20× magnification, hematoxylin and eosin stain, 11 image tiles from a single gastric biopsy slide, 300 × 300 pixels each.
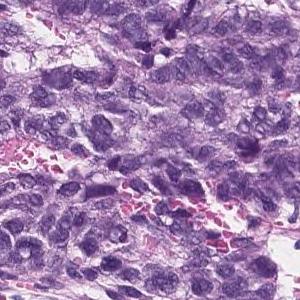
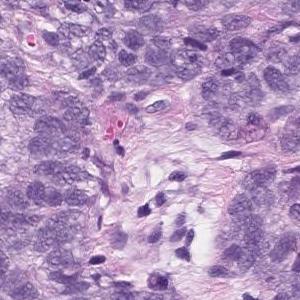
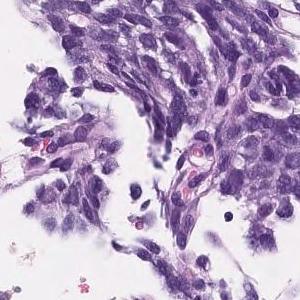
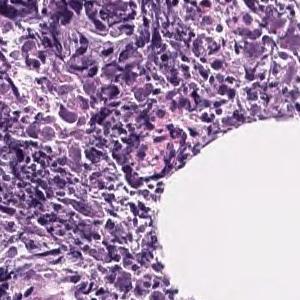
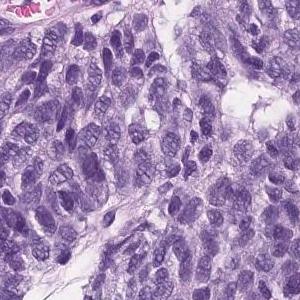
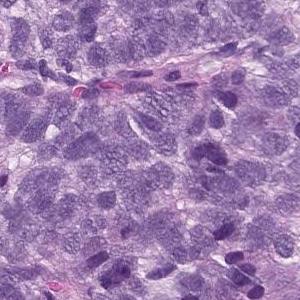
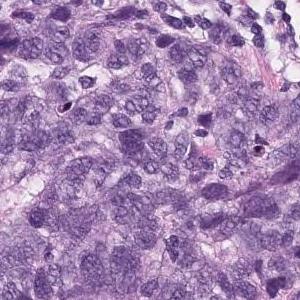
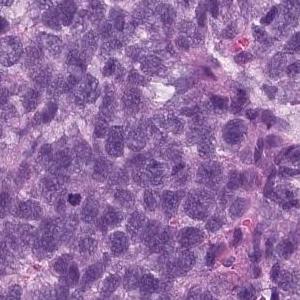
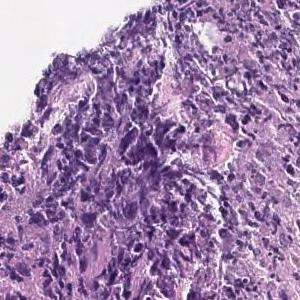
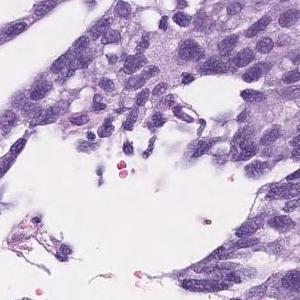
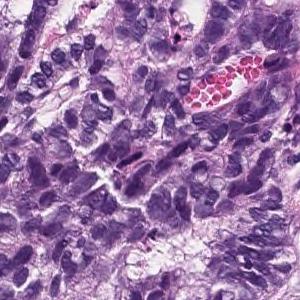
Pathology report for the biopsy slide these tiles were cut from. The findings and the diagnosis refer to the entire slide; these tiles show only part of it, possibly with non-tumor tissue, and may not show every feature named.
Epithelial cells with swollen nuclei with atypia invasively proliferating while forming vesicles is observed. Poorly differentiated adenocarcinoma
Tumor subtype: poorly differentiated adenocarcinoma, solid type. This name comes from the Japanese Classification of Gastric Carcinoma; the WHO 2019 classification calls it tubular adenocarcinoma, poorly differentiated.
